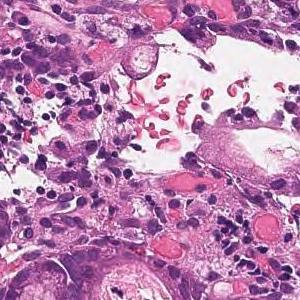
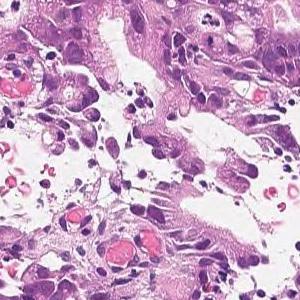
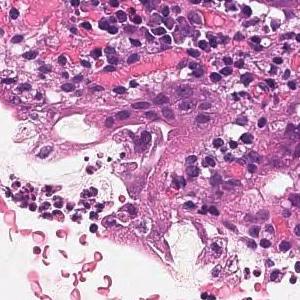
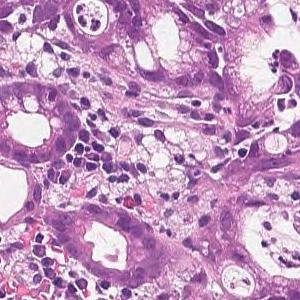
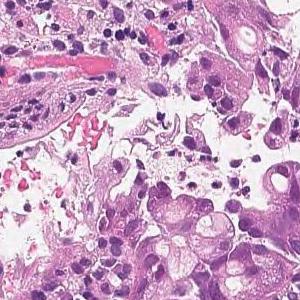
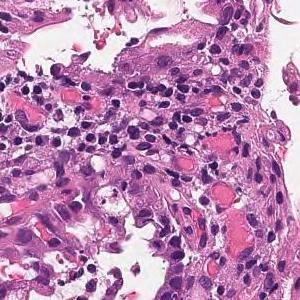
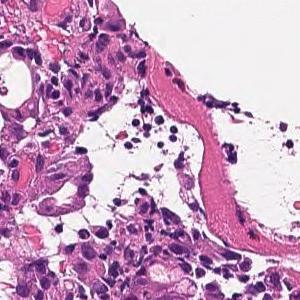
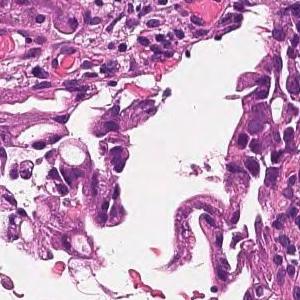
8 tiles from the same stomach biopsy slide · 20× magnification · H&E.
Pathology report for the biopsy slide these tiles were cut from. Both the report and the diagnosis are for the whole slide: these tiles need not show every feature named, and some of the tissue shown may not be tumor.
In the superficial epithelium, tumor tissue that invades by forming medium-sized to small, irregular ducts is observed. moderately differentiated tubular adenocarcinoma.
